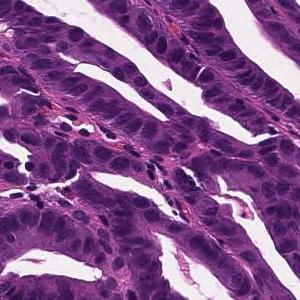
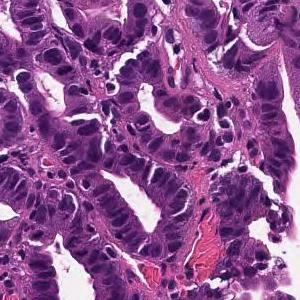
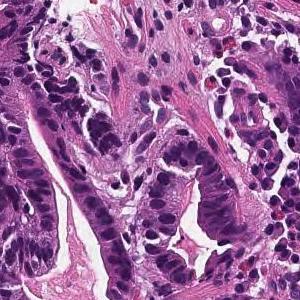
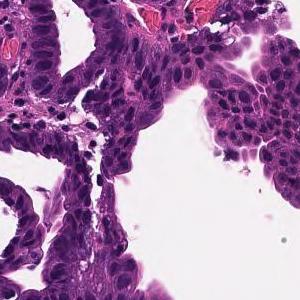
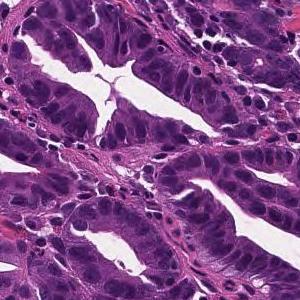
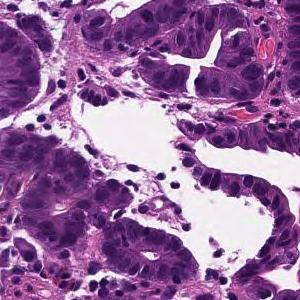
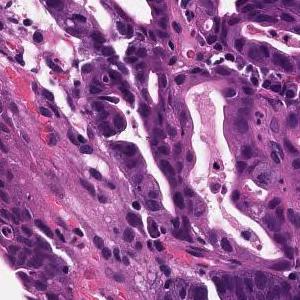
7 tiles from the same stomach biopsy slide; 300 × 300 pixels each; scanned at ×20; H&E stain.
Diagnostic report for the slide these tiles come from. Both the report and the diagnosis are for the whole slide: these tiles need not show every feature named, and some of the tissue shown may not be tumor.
From the superficial epithelium to the muscularis mucosae, tumor tissue consisting of medium-sized and irregular glandular ducts infiltrating is observed. Well differentiated tubular adenocarcinoma
